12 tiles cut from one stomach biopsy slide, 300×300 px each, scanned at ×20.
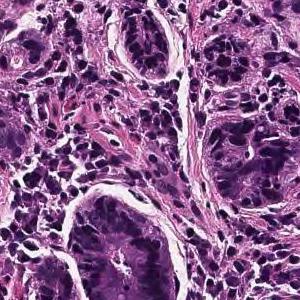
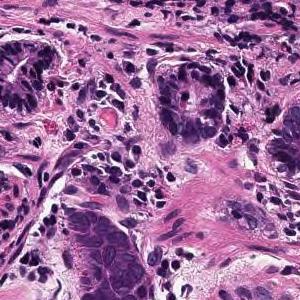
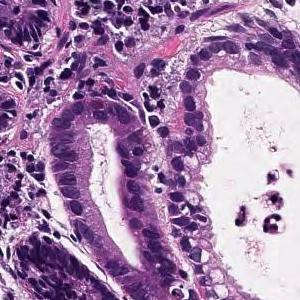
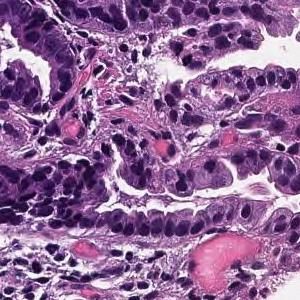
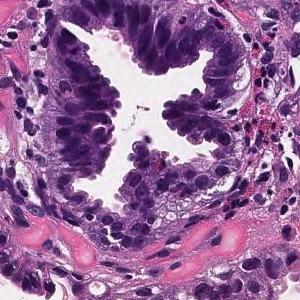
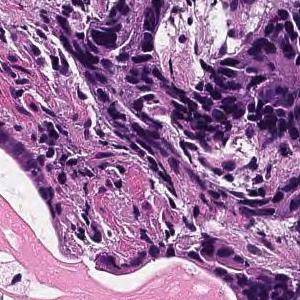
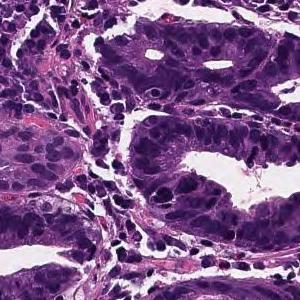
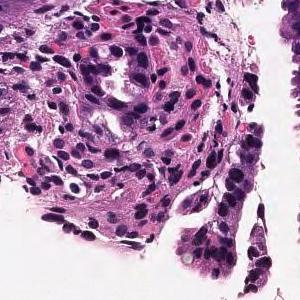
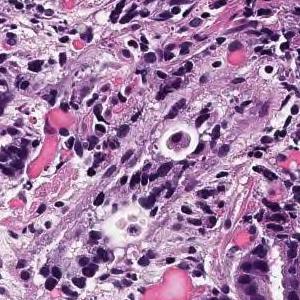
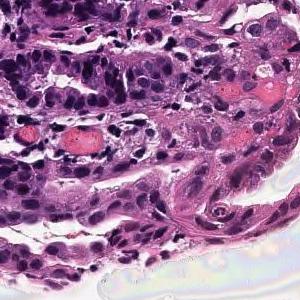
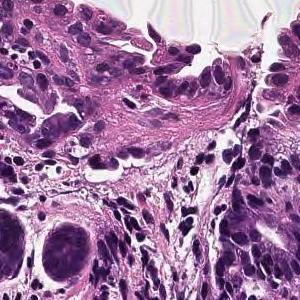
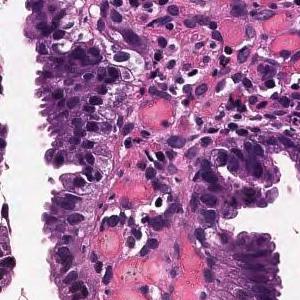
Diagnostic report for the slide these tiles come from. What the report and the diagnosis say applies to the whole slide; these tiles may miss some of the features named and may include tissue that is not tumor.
From the superficial epithelium to the muscularis mucosae, tumor tissue consisting of medium-sized and irregular glandular ducts infiltrating is observed. Well differentiated tubular adenocarcinoma
